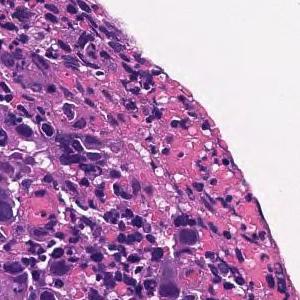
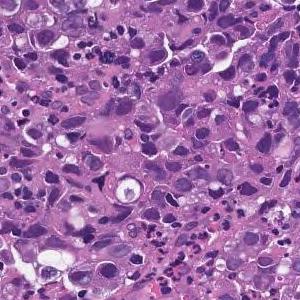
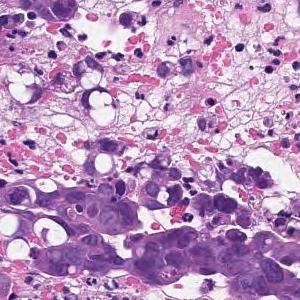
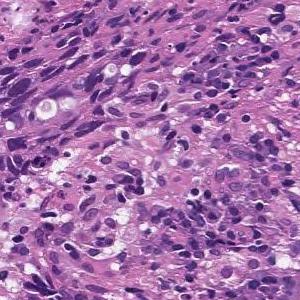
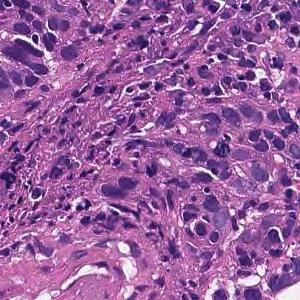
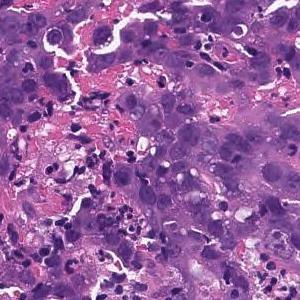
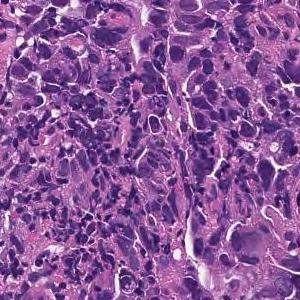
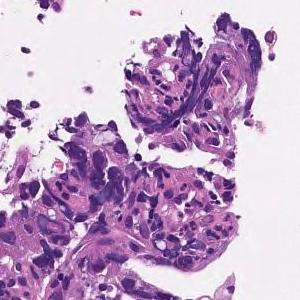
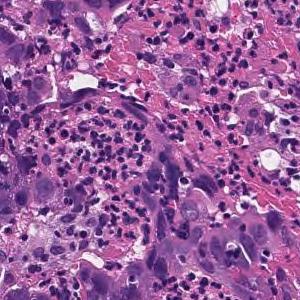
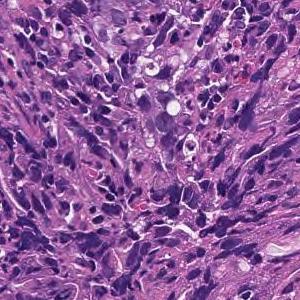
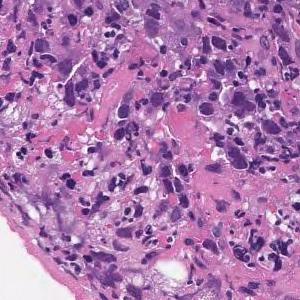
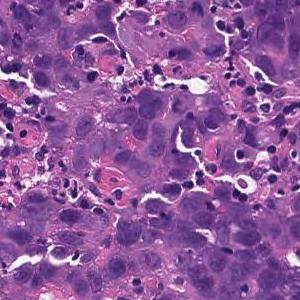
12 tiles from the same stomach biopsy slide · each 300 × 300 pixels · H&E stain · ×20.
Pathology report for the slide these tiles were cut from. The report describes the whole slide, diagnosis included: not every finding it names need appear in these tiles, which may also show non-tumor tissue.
Tumor tissue consisting of cord-like or small, irregular glandular ducts fused and infiltrated is observed in the superficial epithelium. Poorly differentiated adenocarcinoma, non-solid type
The term "non-solid type" comes from the Japanese Classification of Gastric Carcinoma.
